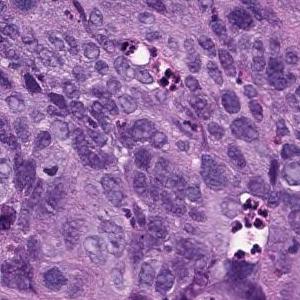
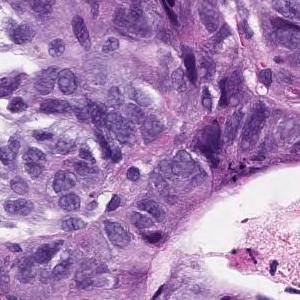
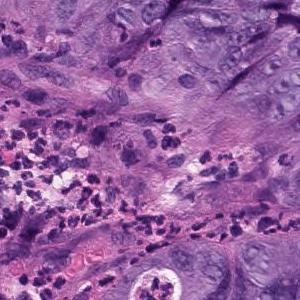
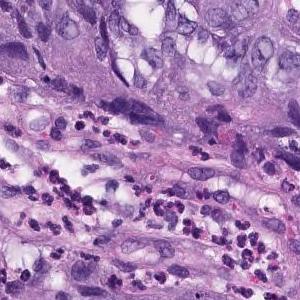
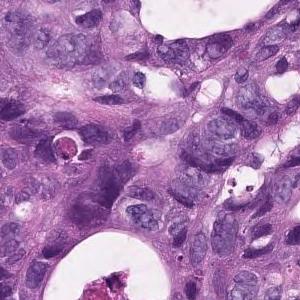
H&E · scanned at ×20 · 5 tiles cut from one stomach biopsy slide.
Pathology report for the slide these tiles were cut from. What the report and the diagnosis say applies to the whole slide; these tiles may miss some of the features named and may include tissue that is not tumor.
In the superficial epithelium, tumor tissue that invades by forming medium-sized to small, irregular ducts is observed. Moderately differentiated adenocarcinoma.
Classified as moderately differentiated tubular adenocarcinoma.
